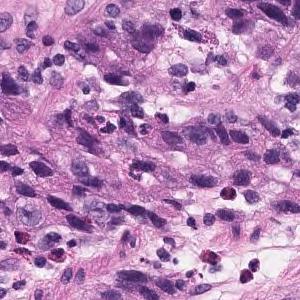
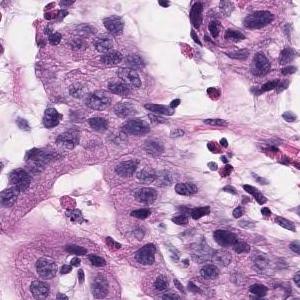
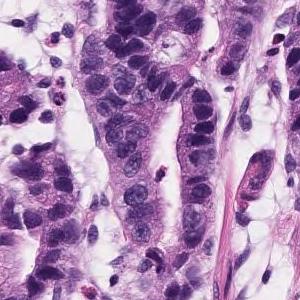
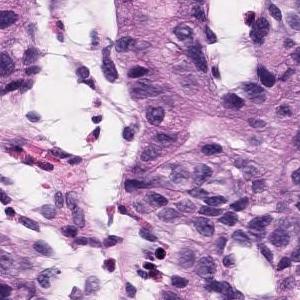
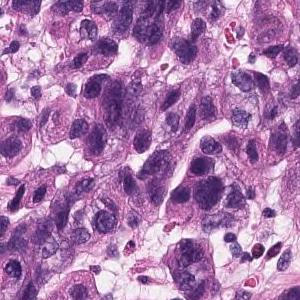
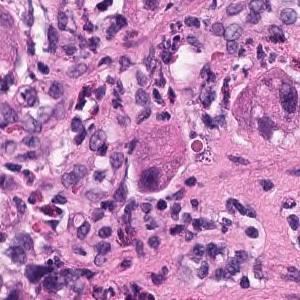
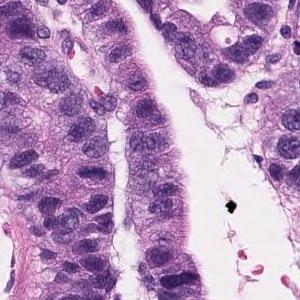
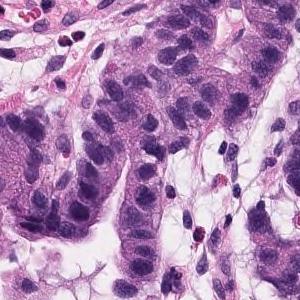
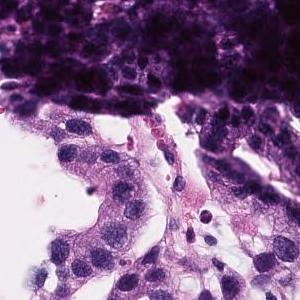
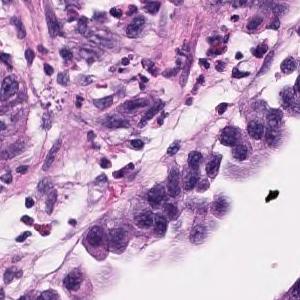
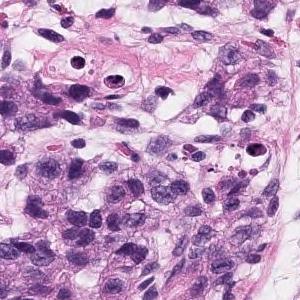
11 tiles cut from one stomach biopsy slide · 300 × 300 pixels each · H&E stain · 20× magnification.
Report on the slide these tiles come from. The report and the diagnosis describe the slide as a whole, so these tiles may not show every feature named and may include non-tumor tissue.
Atypical l cells with atypical nuclei forming diffuse or small irregular atypical ducts and growing. Moderately to poorly differentiated adenocarcinoma (poorly differentiated adenocarcinoma, solid type, moderately differentiated tubular adenocarcinoma)
Tumor subtype: moderately to poorly differentiated adenocarcinoma.
"Solid type" is a category of the Japanese Classification of Gastric Carcinoma; in the WHO 2019 classification it is tubular adenocarcinoma, poorly differentiated.
